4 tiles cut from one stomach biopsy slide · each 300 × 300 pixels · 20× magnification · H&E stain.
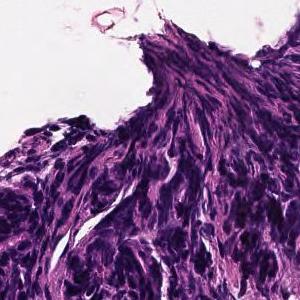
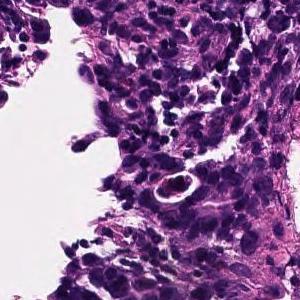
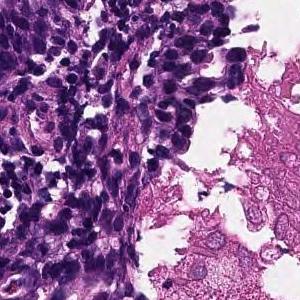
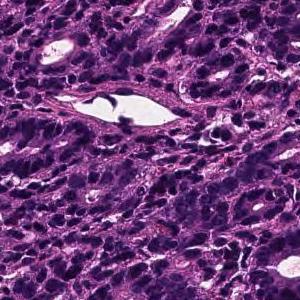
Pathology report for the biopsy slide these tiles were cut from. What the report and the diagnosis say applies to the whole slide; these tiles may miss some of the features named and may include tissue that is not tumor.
On the superficial epithelium, tumor tissue is found in which medium-sized irregular gland ducts fuse with each other and infiltrate. moderately differentiated tubular adenocarcinoma or Poorly differentiated adenocarcinoma, non-solid type
Histologic type: Moderately to poorly differentiated adenocarcinoma.
The term "non-solid type" comes from the Japanese Classification of Gastric Carcinoma.
